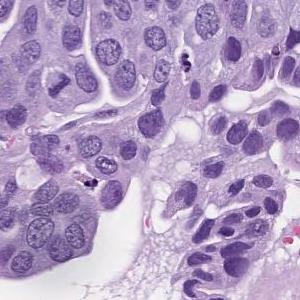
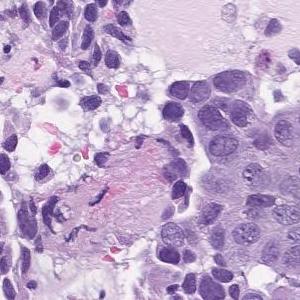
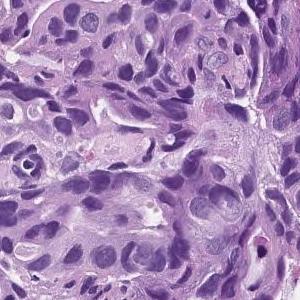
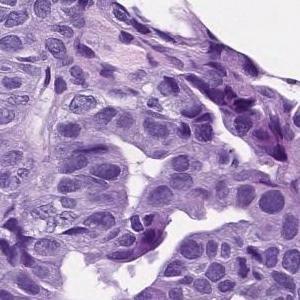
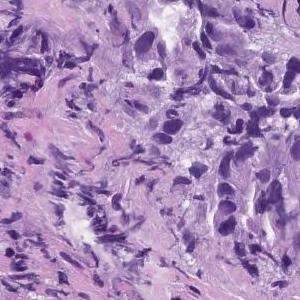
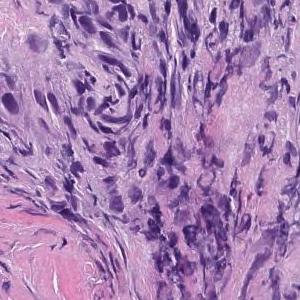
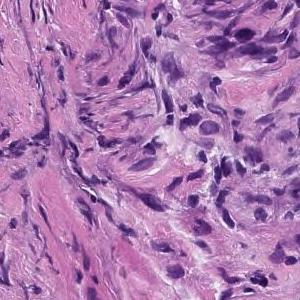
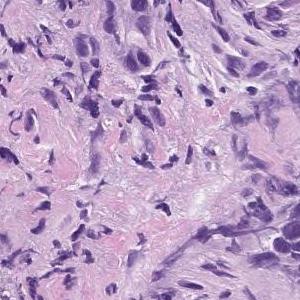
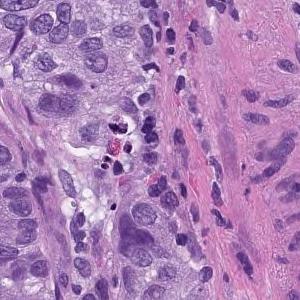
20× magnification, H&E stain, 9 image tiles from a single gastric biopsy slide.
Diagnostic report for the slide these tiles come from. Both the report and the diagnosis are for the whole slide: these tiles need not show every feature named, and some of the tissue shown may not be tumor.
In the superficial epithelium, tumor tissue that invades by forming medium-sized to small, irregular ducts is observed. moderately differentiated tubular adenocarcinoma.
